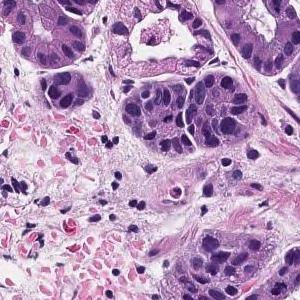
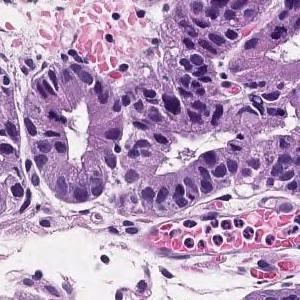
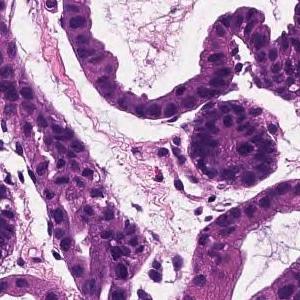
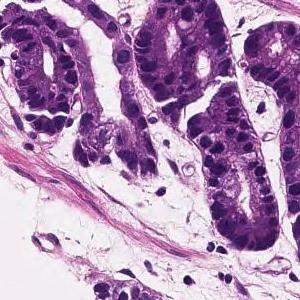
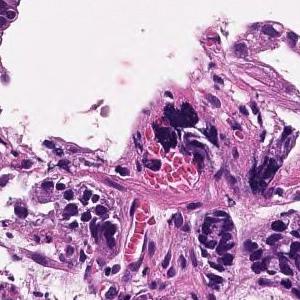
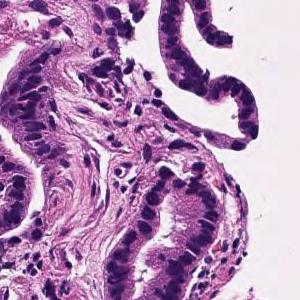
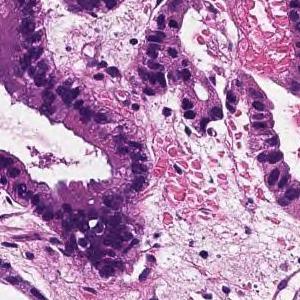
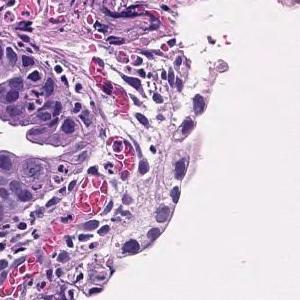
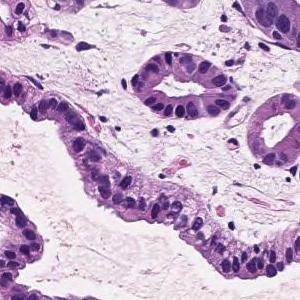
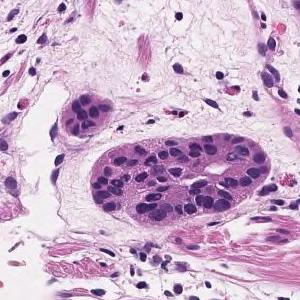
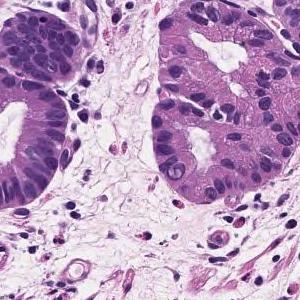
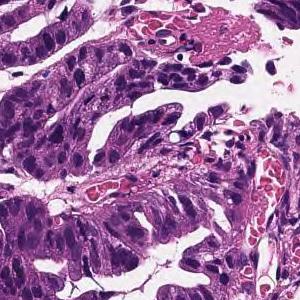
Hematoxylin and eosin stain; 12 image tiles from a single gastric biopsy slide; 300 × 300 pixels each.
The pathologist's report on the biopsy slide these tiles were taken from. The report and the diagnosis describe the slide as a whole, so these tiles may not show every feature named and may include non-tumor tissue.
Tumor cells are large, highly columnar, large club-shaped nuclei, and are associated with chromatin aggregation. Papillary adenocarcinoma.
